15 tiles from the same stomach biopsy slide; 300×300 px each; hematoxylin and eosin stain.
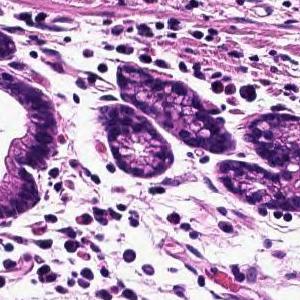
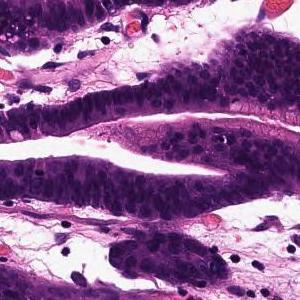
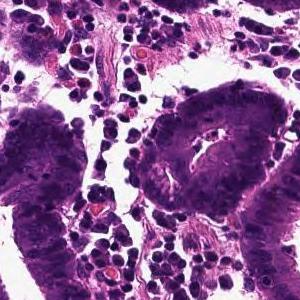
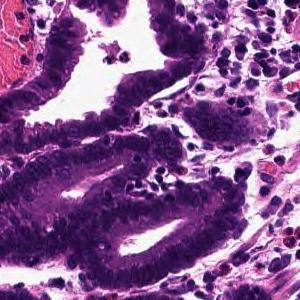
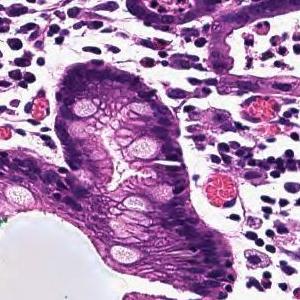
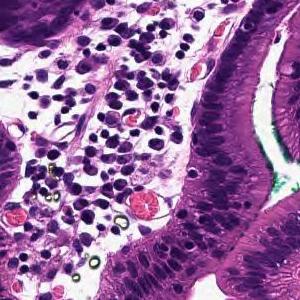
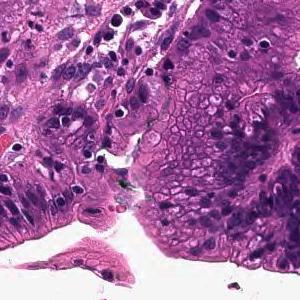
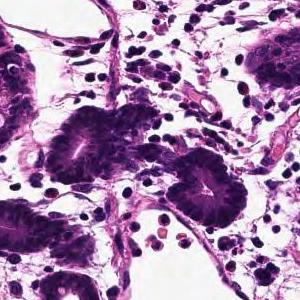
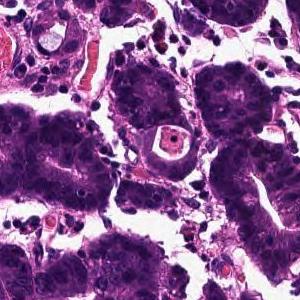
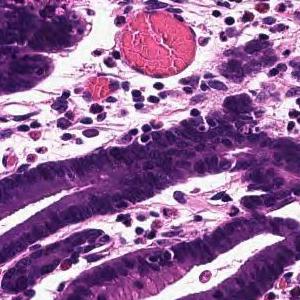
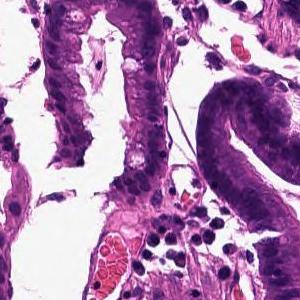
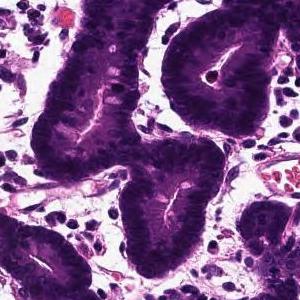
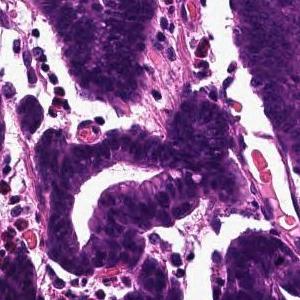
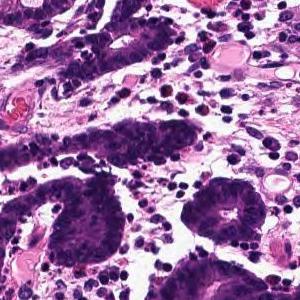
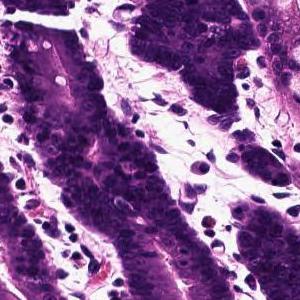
Pathology report for the slide these tiles were cut from. The report and the diagnosis cover the entire slide, so not every feature they name need be visible here, and some tissue shown may not be tumor.
Tumor tissue that infiltrates by forming large papillary or large irregular glandular ducts is observed confined to the mucosa. Papillary adenocarcinoma
